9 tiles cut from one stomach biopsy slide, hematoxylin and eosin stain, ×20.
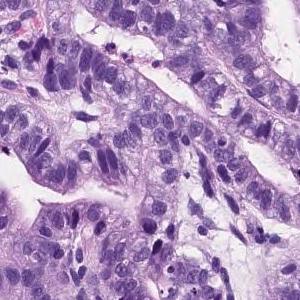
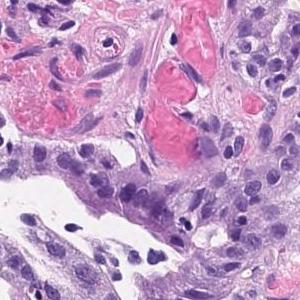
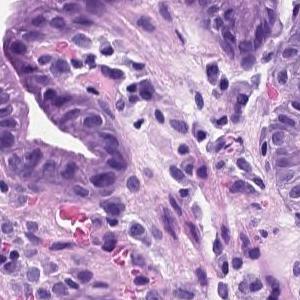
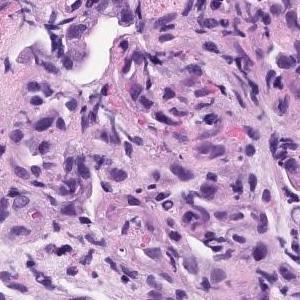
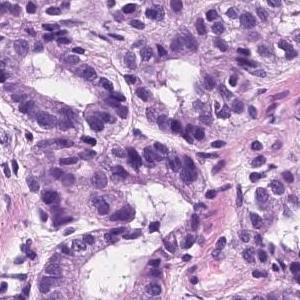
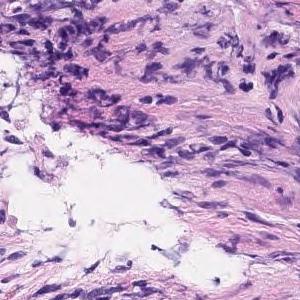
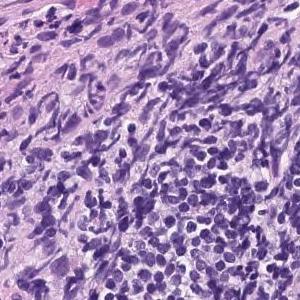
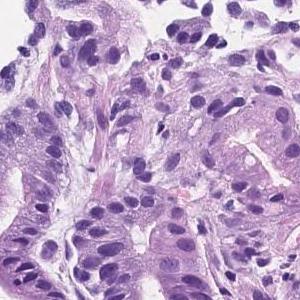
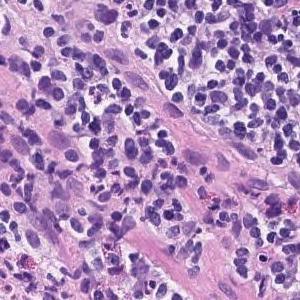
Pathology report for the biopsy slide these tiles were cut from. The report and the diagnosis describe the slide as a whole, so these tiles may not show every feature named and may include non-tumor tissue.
Tumor tissue consisting of medium-sized and irregular ducts is observed infiltrating in the superficial epithelium. Tumor cells are highly columnar, with nuclei aligned basolaterally and polarized. Well differentiated tubular adenocarcinoma.
